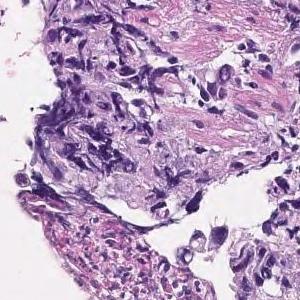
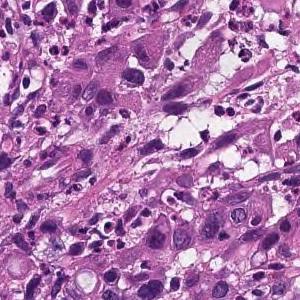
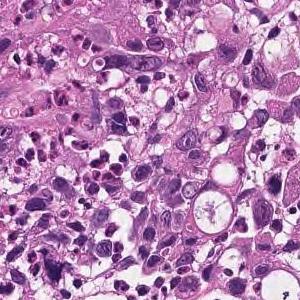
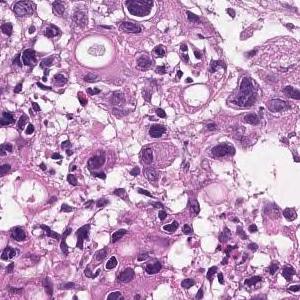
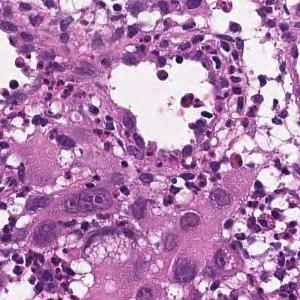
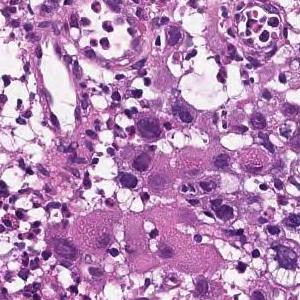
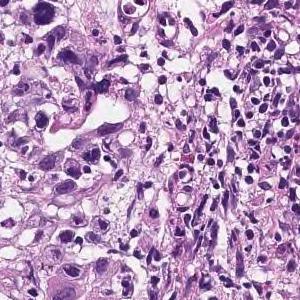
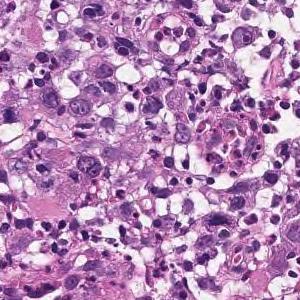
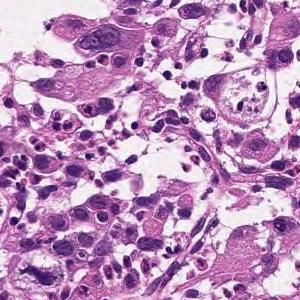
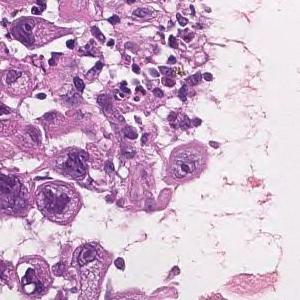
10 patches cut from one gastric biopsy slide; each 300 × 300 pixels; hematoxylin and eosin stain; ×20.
Pathology report for the slide these tiles were cut from. The findings and the diagnosis refer to the entire slide; these tiles show only part of it, possibly with non-tumor tissue, and may not show every feature named.
The superficial epithelium shows a large sheet-like shape, and some tumor tissue infiltrates with small irregular ducts. Poorly differentiated adenocarcinoma, solid-type
Classified as poorly differentiated adenocarcinoma, solid type (Japanese Classification of Gastric Carcinoma). The WHO 2019 equivalent is tubular adenocarcinoma, poorly differentiated.
